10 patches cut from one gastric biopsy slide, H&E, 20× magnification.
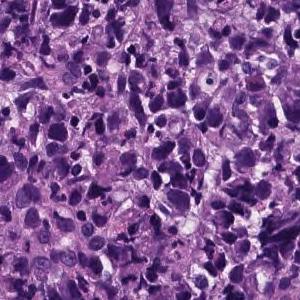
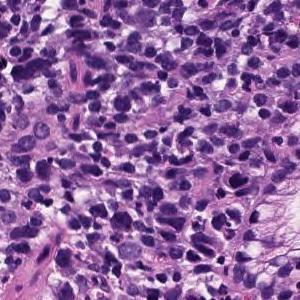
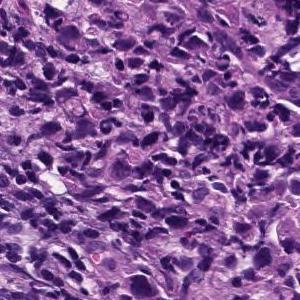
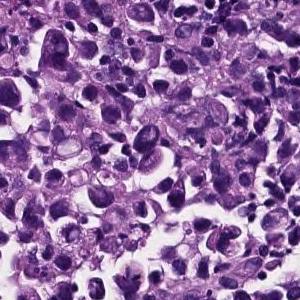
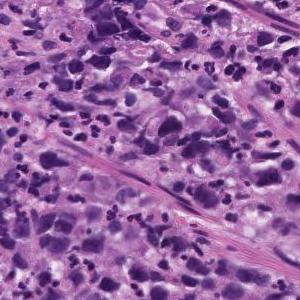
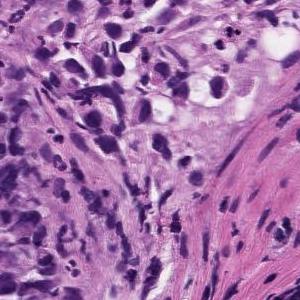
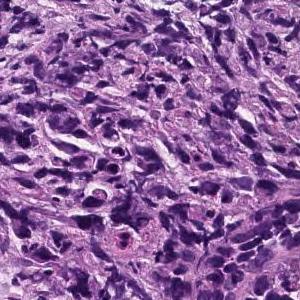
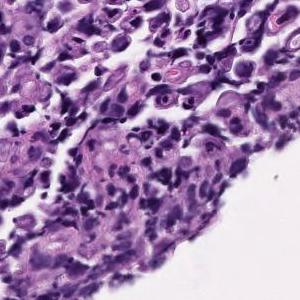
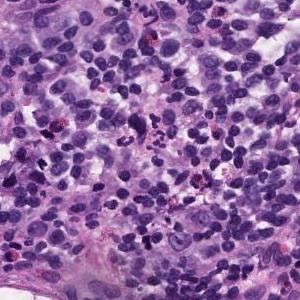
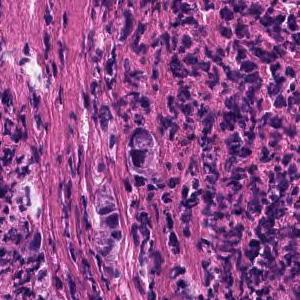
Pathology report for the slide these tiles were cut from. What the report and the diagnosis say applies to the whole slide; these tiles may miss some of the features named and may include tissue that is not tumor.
Poorly differentiated, solid adenocarcinoma (poorly differentiated adenocarcinoma, solid type) with tumor tissue diffusely infiltrated with atypical epithelial cells
Classified as poorly differentiated adenocarcinoma, solid type, a category of the Japanese Classification of Gastric Carcinoma; in the WHO 2019 classification it is tubular adenocarcinoma, poorly differentiated.
